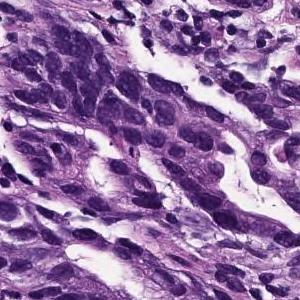
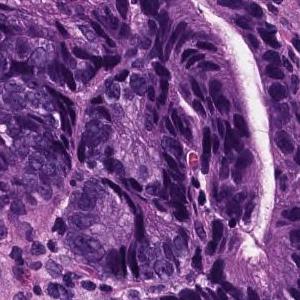
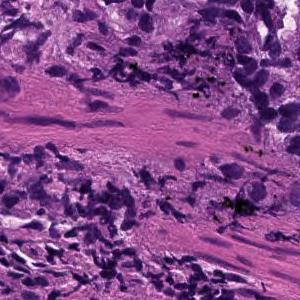
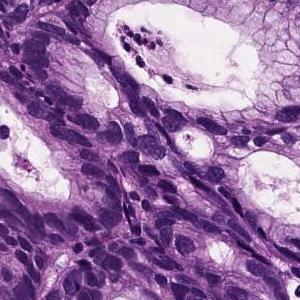
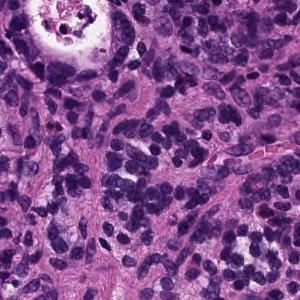
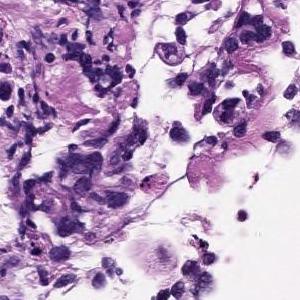
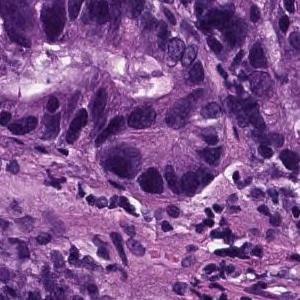
7 patches cut from one gastric biopsy slide, ×20, H&E stain.
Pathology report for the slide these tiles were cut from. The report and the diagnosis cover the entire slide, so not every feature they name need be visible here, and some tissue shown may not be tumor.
In the superficial epithelium, tumor tissue that invades by forming medium-sized to small, irregular ducts is observed. Moderately differentiated adenocarcinoma.
Histological subtype: Moderately differentiated tubular adenocarcinoma.
